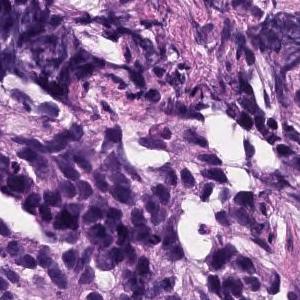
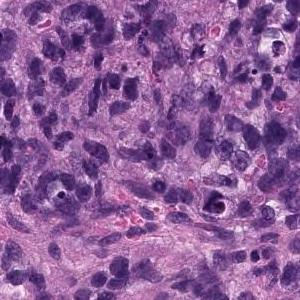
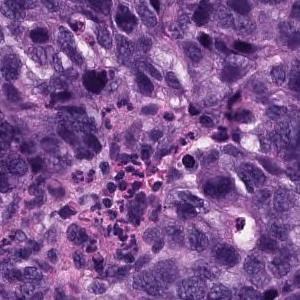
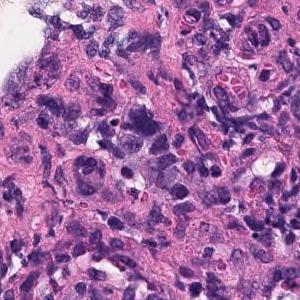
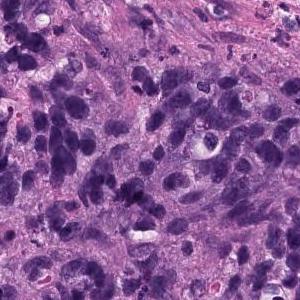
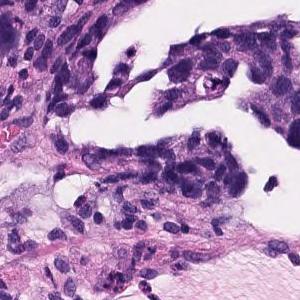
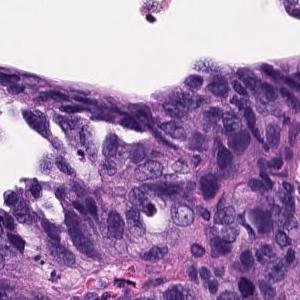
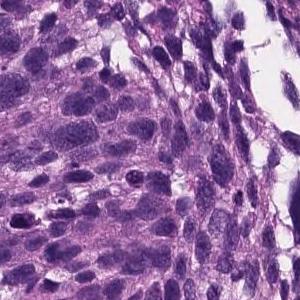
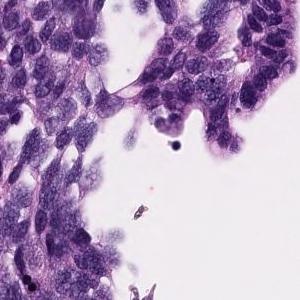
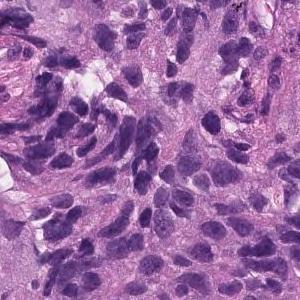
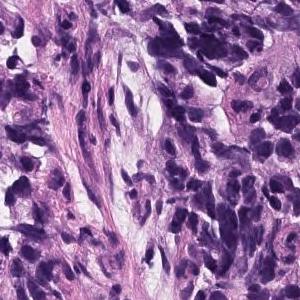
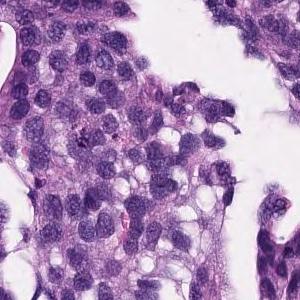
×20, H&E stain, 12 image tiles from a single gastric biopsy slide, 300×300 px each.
Pathology report for the biopsy slide these tiles were cut from. Both the report and the diagnosis are for the whole slide: these tiles need not show every feature named, and some of the tissue shown may not be tumor.
Atypical l cells with atypical nuclei under the mucosa growing in isolation and scattered. Poorly differentiated adenocarcinoma (poorly differentiated adenocarcinoma, non-solid type)
Histologic type: Poorly differentiated adenocarcinoma, non-solid type.
The non-solid type named here is a Japanese Classification of Gastric Carcinoma category.
